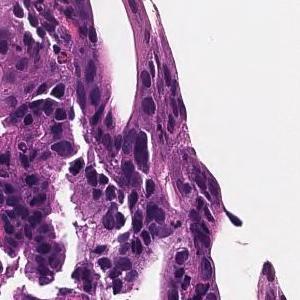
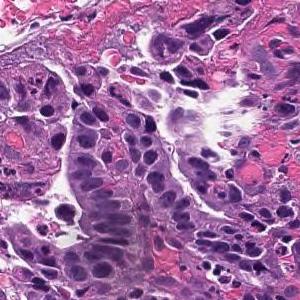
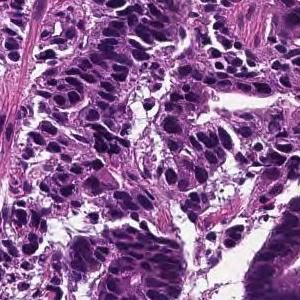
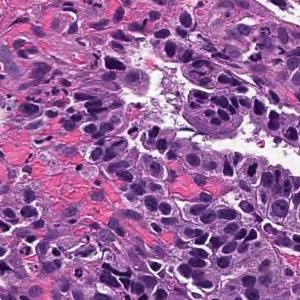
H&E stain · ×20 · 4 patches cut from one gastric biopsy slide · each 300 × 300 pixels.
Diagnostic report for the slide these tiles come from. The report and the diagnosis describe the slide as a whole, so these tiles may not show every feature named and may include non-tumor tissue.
In the superficial epithelium, tumor tissue that invades by forming medium-sized to small, irregular ducts is observed. moderately differentiated tubular adenocarcinoma.
